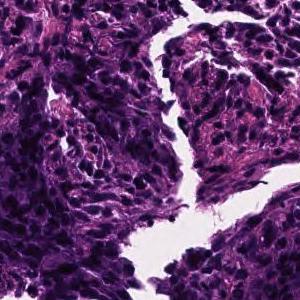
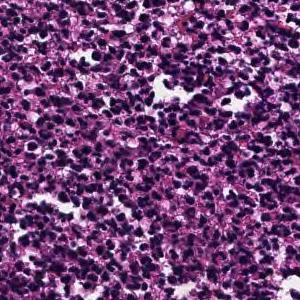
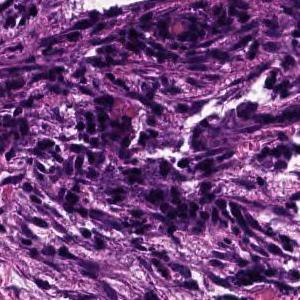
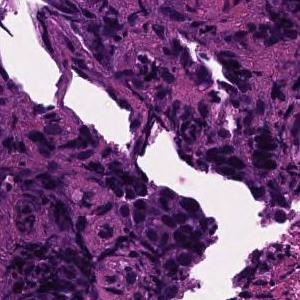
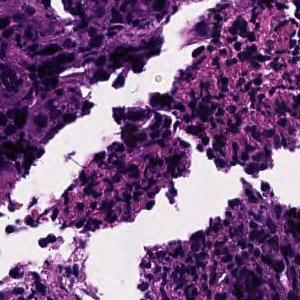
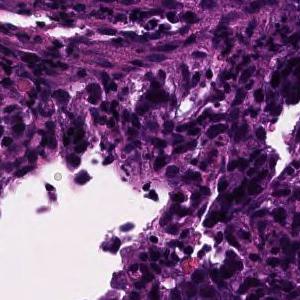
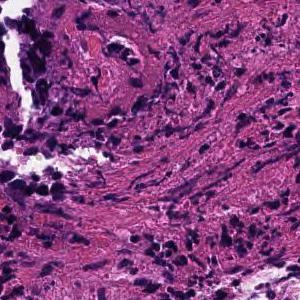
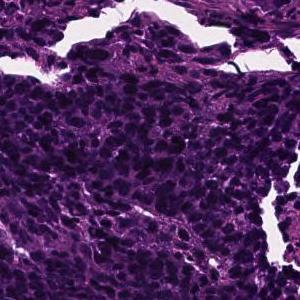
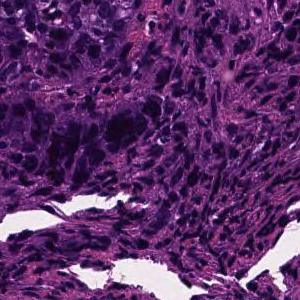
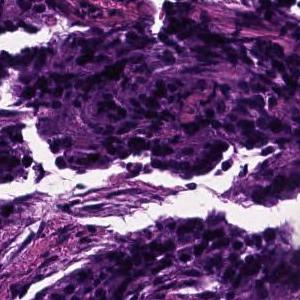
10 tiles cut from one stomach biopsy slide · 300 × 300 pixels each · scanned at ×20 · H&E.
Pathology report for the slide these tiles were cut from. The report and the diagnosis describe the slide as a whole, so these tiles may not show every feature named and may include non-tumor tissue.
In the superficial epithelium, tumor tissue that invades by forming medium-sized to small, irregular ducts is observed. moderately differentiated tubular adenocarcinoma.
